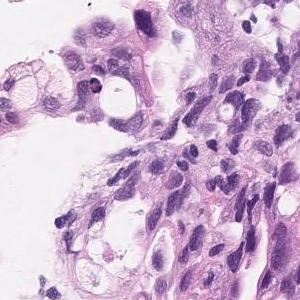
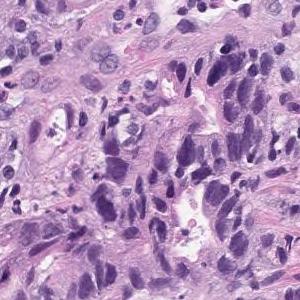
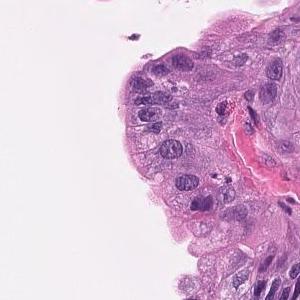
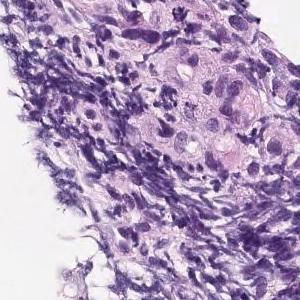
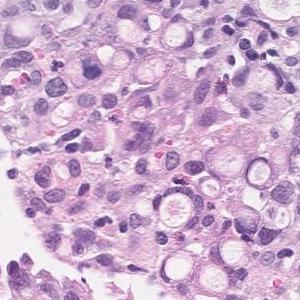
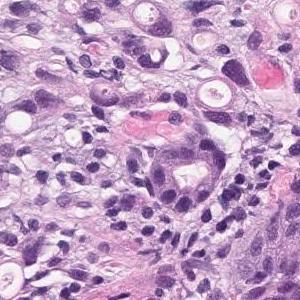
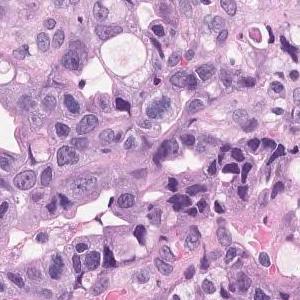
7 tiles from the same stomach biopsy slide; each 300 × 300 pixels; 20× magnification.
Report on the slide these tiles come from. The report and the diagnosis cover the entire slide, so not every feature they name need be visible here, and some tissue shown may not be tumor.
Tumor tissue consisting of medium-sized, cord-like or irregular glandular infiltration is observed in the superficial epithelium. Poorly differentiated adenocarcinoma, non-solid type or moderately differentiated tubular adenocarcinoma
Dataset label: poorly differentiated adenocarcinoma, non-solid type.
The non-solid type named here is a Japanese Classification of Gastric Carcinoma category.
